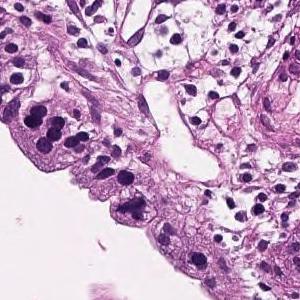
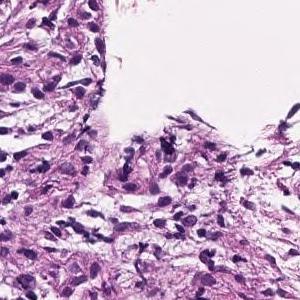
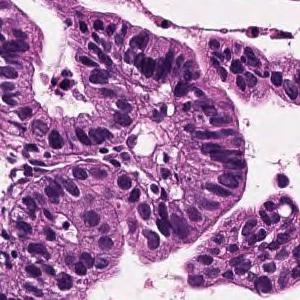
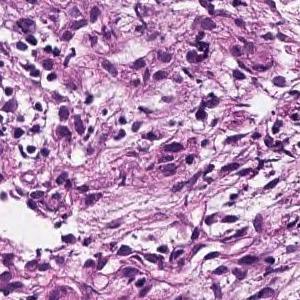
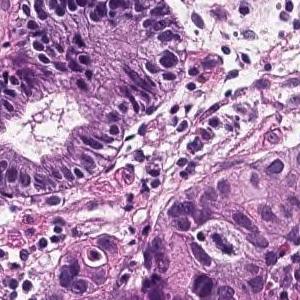
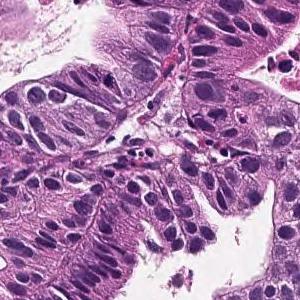
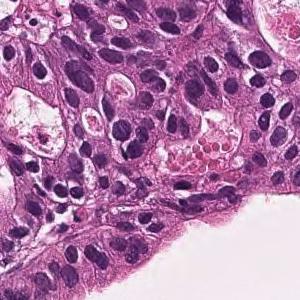
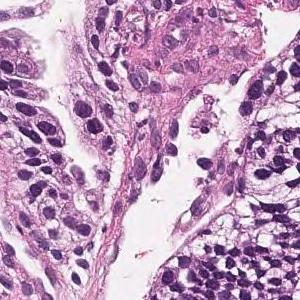
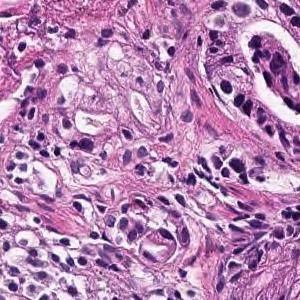
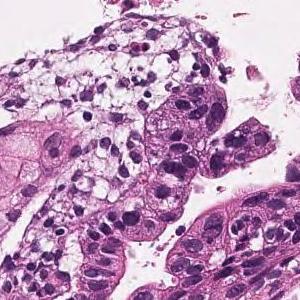
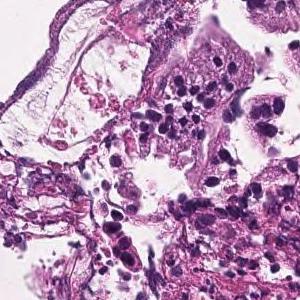
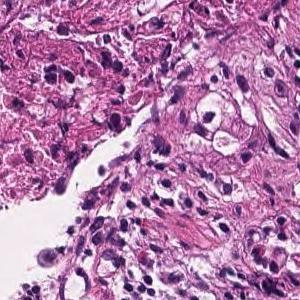
H&E · 12 image tiles from a single gastric biopsy slide · 300×300 px each.
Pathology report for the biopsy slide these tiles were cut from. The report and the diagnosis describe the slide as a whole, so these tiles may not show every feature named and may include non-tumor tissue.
On the superficial epithelium, tumor tissue consisting of large, irregular glandular ducts partially fused and infiltrated is observed. Well to moderately differentiated tubular adenocarcinoma (well differentiated tubular adenocarcinoma, moderately differentiated tubular adenocarcinoma)
Histological subtype: Well to moderately differentiated tubular adenocarcinoma.
